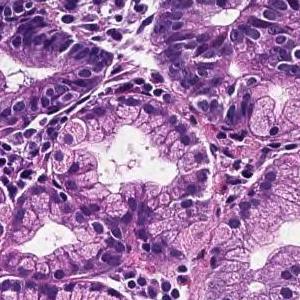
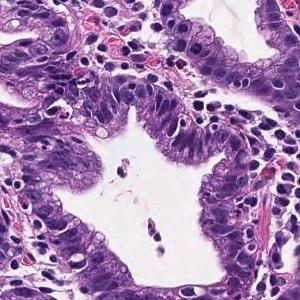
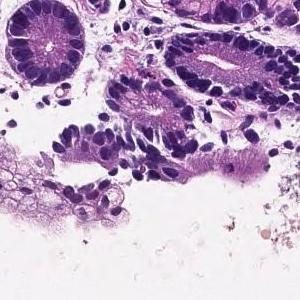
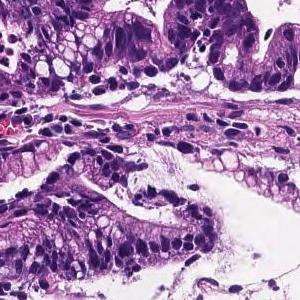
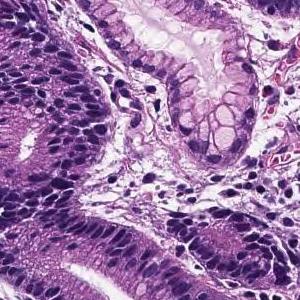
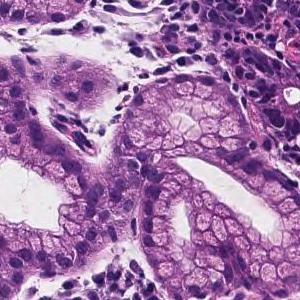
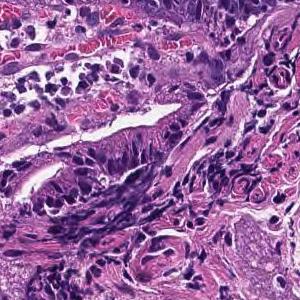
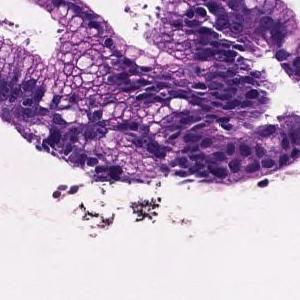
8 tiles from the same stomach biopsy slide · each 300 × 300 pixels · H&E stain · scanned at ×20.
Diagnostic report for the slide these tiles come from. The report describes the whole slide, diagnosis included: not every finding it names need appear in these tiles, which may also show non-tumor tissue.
From the superficial epithelium to the muscularis mucosae, tumor tissue consisting of medium-sized and irregular glandular ducts infiltrating is observed. Well differentiated tubular adenocarcinoma
